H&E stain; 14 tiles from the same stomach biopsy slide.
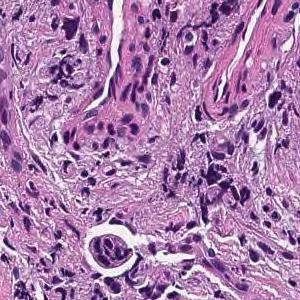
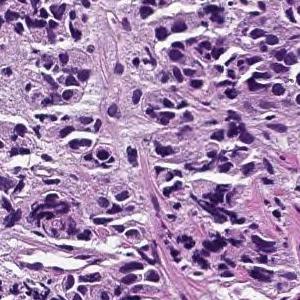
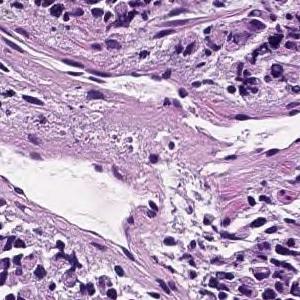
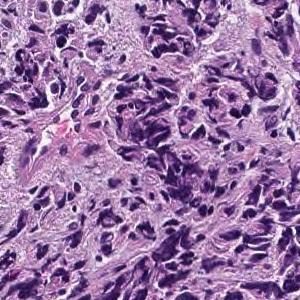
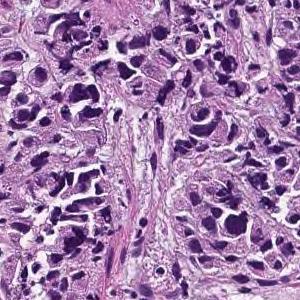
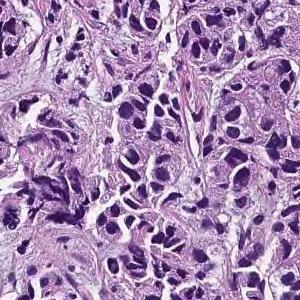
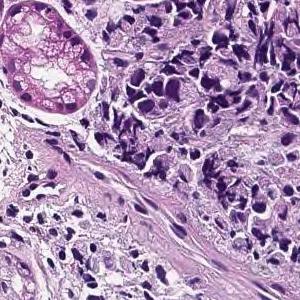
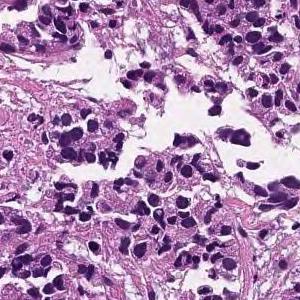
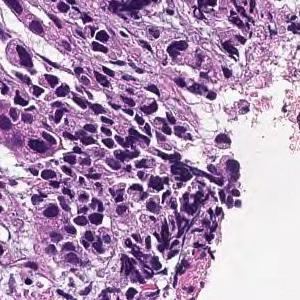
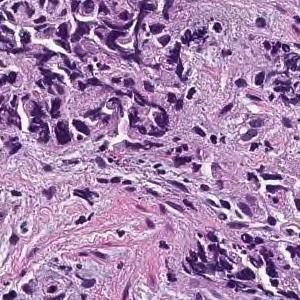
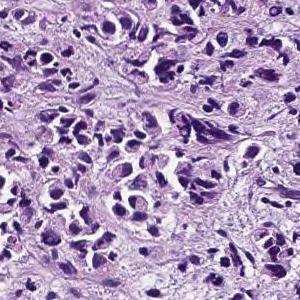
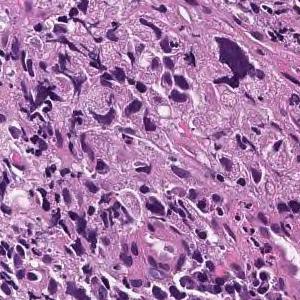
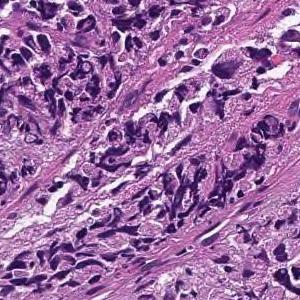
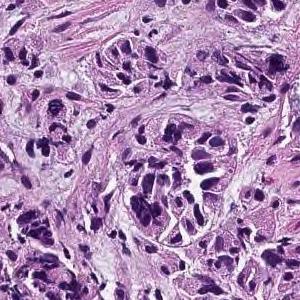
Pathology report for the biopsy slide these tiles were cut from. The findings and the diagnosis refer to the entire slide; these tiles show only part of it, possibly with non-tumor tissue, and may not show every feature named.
The lamina propria shows small cord-like tumor tissue that infiltrates with fibrosis and marked chronic inflammatory cell infiltration. Poorly differentiated adenocarcinoma, non-solid type
The non-solid type named here is a Japanese Classification of Gastric Carcinoma category.
